H&E stain · 10 tiles from the same stomach biopsy slide · 300 × 300 pixels each.
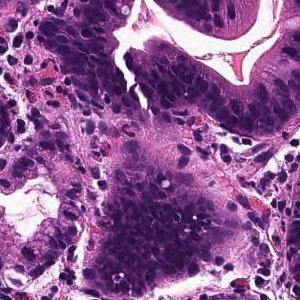
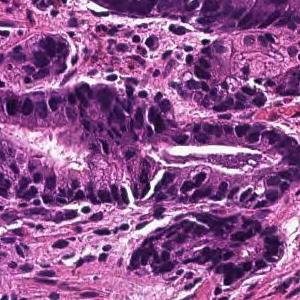
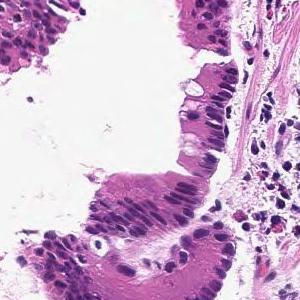
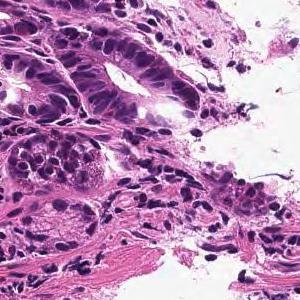
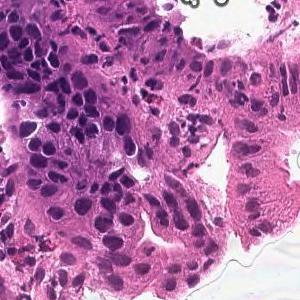
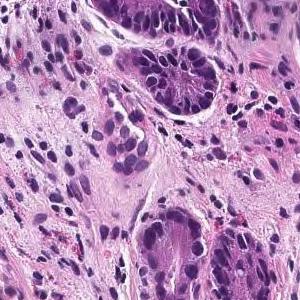
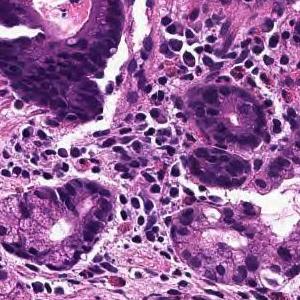
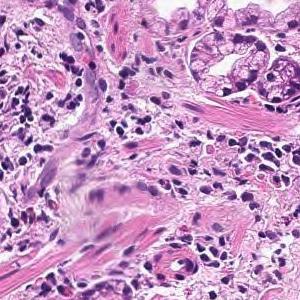
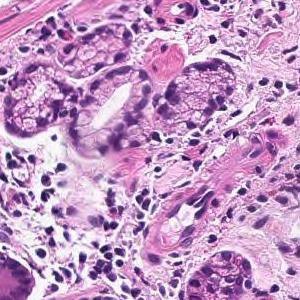
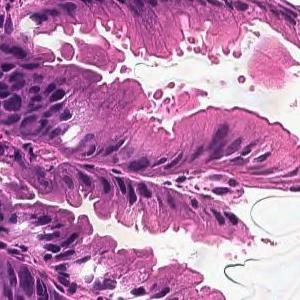
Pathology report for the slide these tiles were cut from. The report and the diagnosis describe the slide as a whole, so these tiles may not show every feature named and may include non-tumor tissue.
From the superficial epithelium to the muscularis mucosae, tumor tissue consisting of medium-sized and irregular glandular ducts infiltrating is observed. Well differentiated tubular adenocarcinoma
